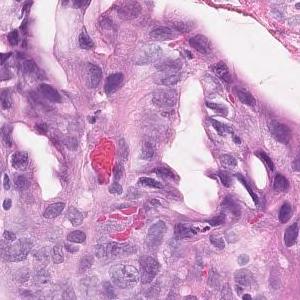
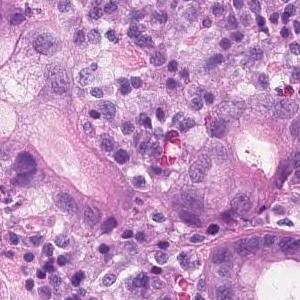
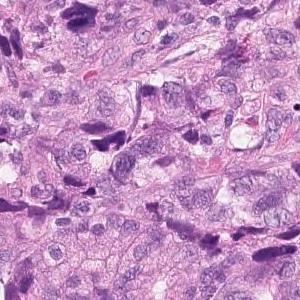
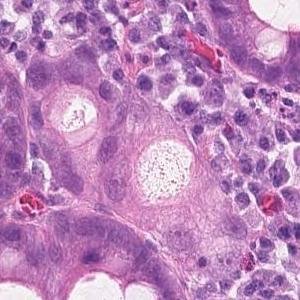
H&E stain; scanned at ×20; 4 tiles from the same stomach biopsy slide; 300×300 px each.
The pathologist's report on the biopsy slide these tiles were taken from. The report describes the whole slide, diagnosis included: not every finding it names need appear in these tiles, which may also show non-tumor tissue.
Tumor tissue showing dense, fused or diffuse, and infiltrative growth of small atypical ducts is observed. moderately differentiated tubular adenocarcinoma
